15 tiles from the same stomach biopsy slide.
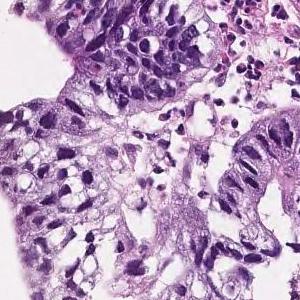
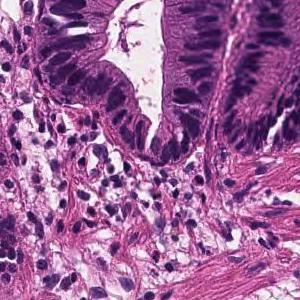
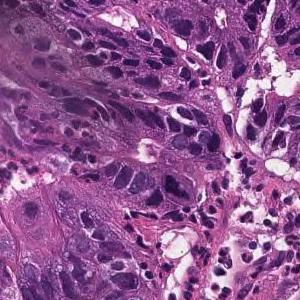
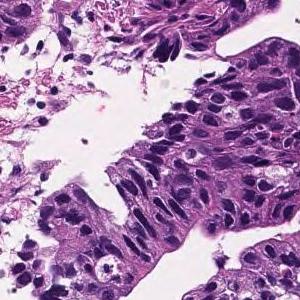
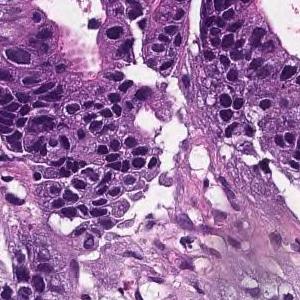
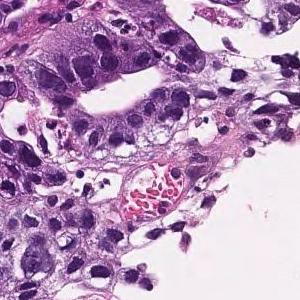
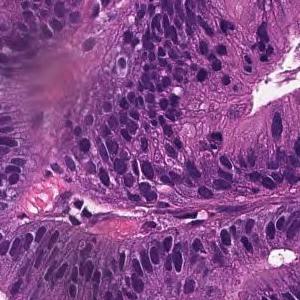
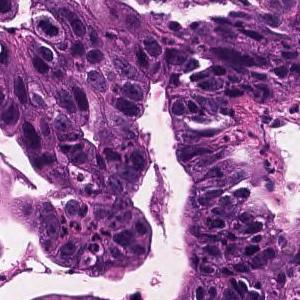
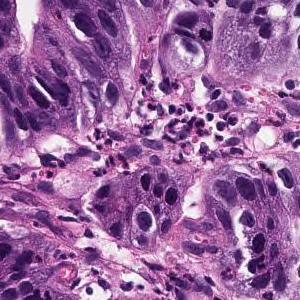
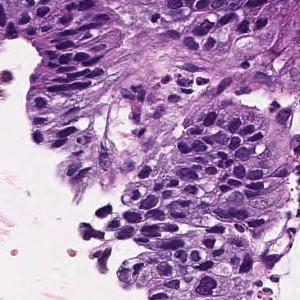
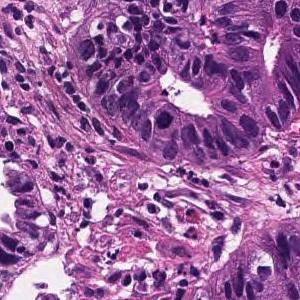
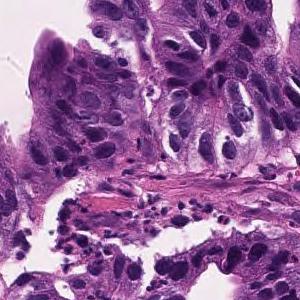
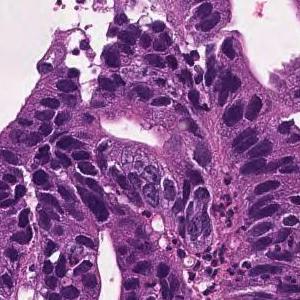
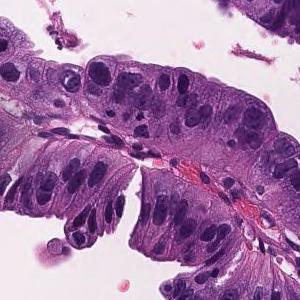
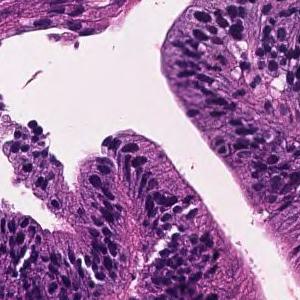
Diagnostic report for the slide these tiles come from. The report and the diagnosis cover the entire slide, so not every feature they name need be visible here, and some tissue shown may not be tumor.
Tumor cells are large, highly columnar, large club-shaped nuclei, and are associated with chromatin aggregation. Papillary adenocarcinoma.
